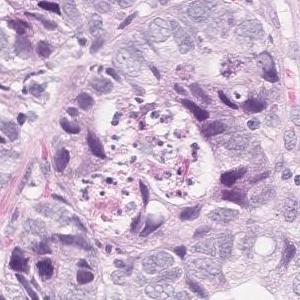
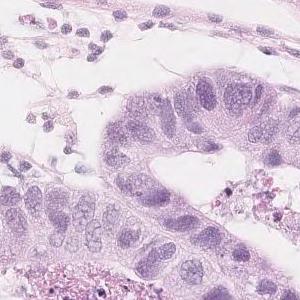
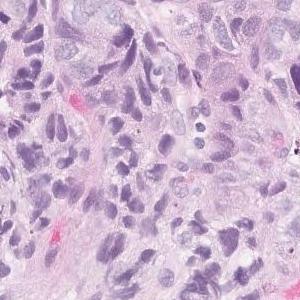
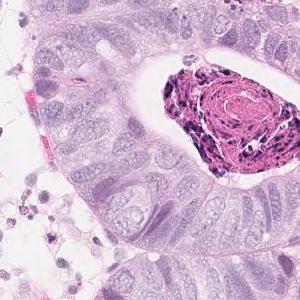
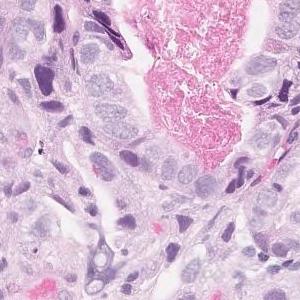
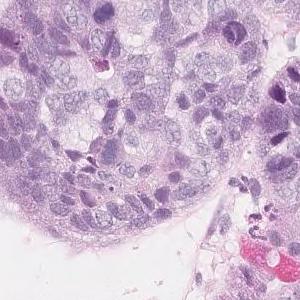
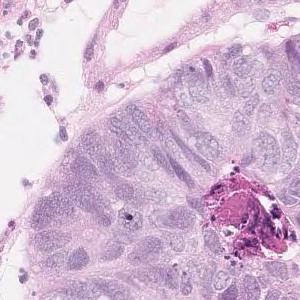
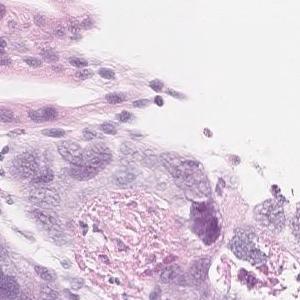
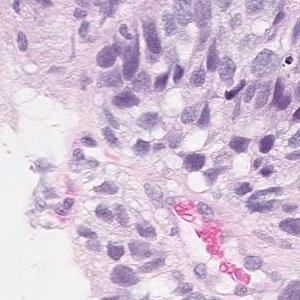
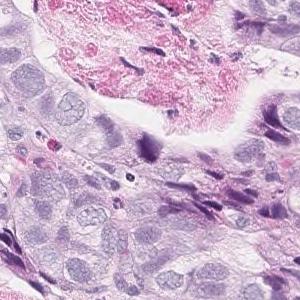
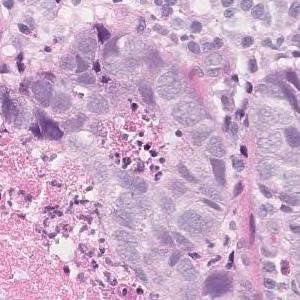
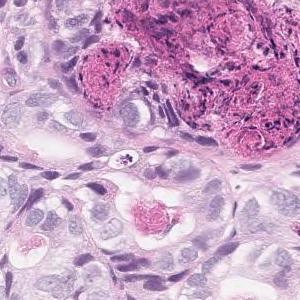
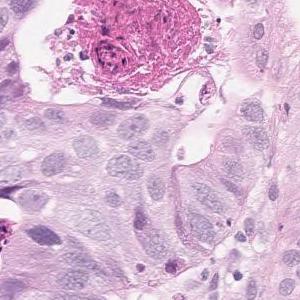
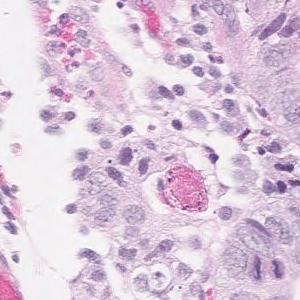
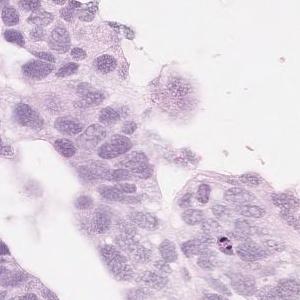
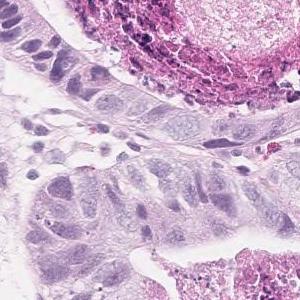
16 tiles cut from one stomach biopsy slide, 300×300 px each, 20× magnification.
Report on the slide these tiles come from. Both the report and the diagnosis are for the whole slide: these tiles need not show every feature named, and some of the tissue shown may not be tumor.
In the superficial epithelium, tumor tissue that invades by forming medium-sized to small, irregular ducts is observed. Moderately differentiated adenocarcinoma.
Classified as moderately differentiated tubular adenocarcinoma.
